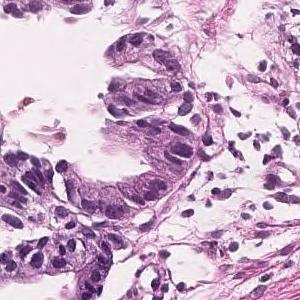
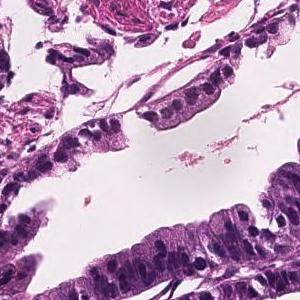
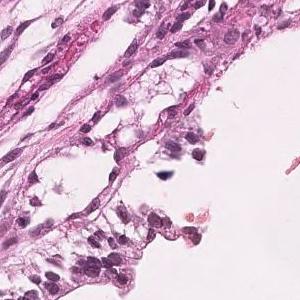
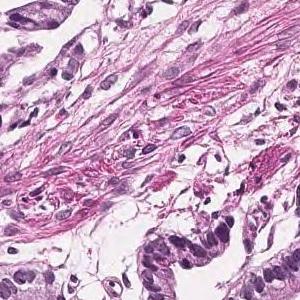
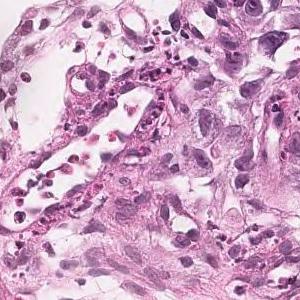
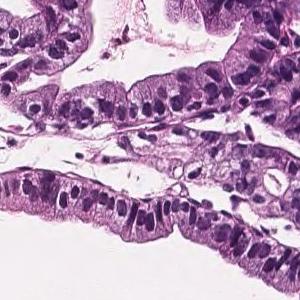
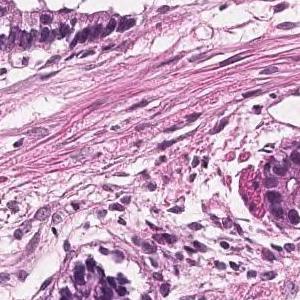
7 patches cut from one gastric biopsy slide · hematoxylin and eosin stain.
The pathologist's report on the biopsy slide these tiles were taken from. The report and the diagnosis cover the entire slide, so not every feature they name need be visible here, and some tissue shown may not be tumor.
Tumor cells are large, highly columnar, large club-shaped nuclei, and are associated with chromatin aggregation. Papillary adenocarcinoma.
